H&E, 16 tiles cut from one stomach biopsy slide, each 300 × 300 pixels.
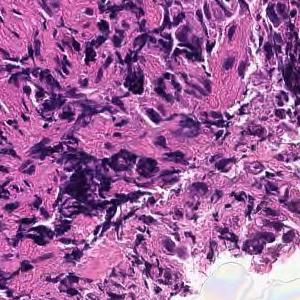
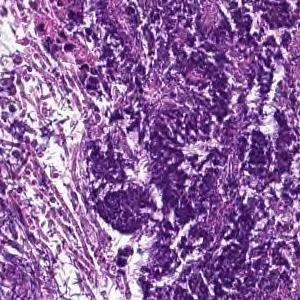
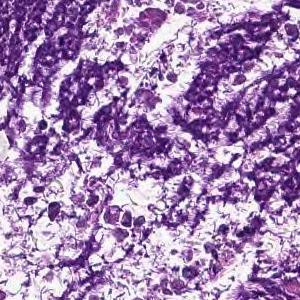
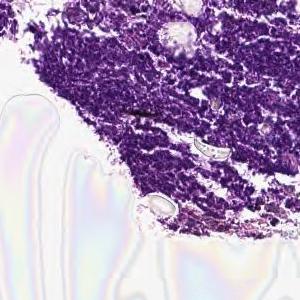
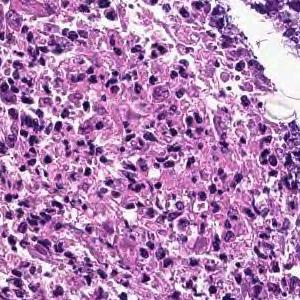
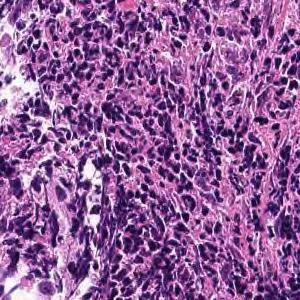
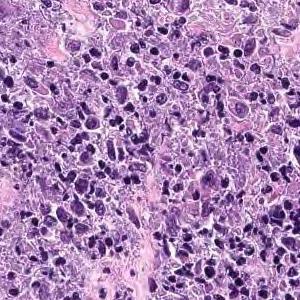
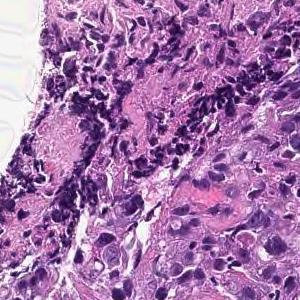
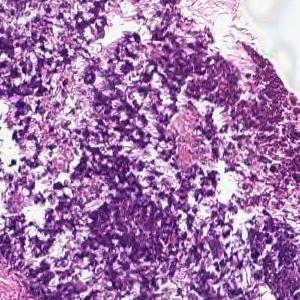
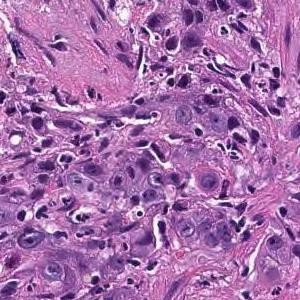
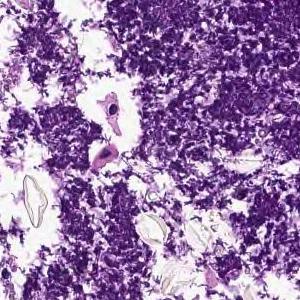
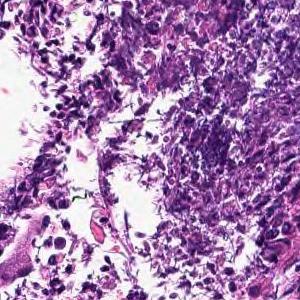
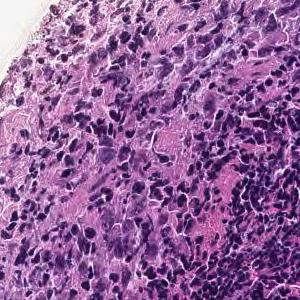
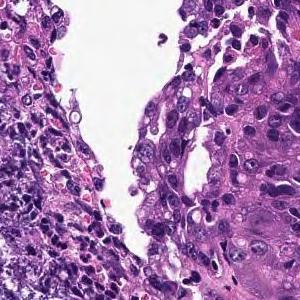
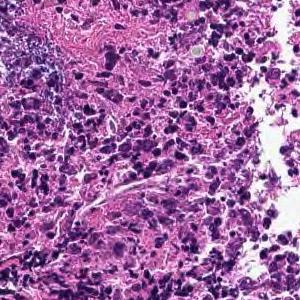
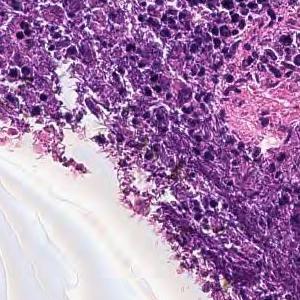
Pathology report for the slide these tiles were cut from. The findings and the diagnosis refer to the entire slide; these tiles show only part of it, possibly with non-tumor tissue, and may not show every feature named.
Cancers with polygonal nuclei do not show glandular formation and are densely, in part, cord-like and proliferate. Poorly differentiated adenocarcinoma
Subtype: Poorly differentiated adenocarcinoma, non-solid type.
The term "non-solid type" comes from the Japanese Classification of Gastric Carcinoma.
